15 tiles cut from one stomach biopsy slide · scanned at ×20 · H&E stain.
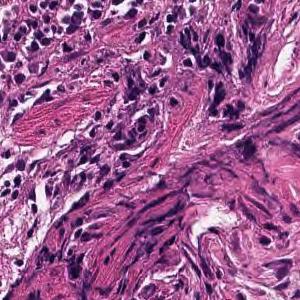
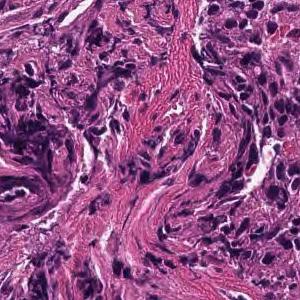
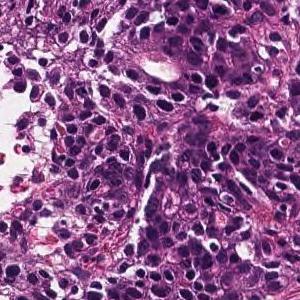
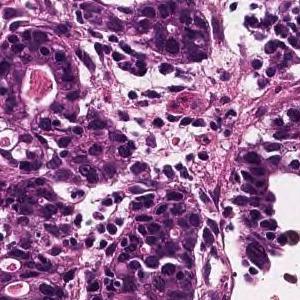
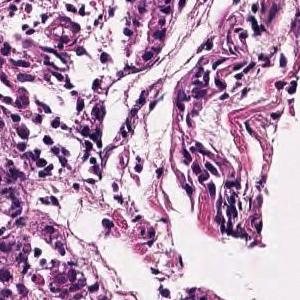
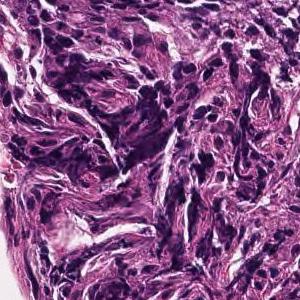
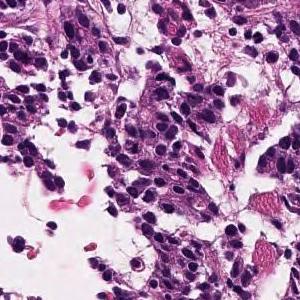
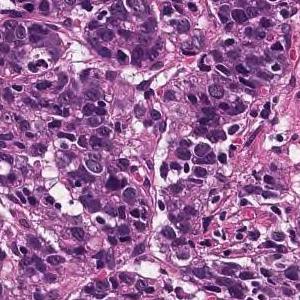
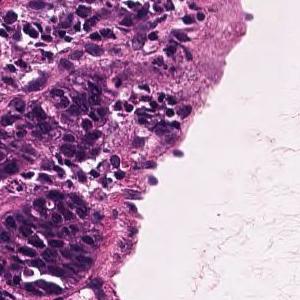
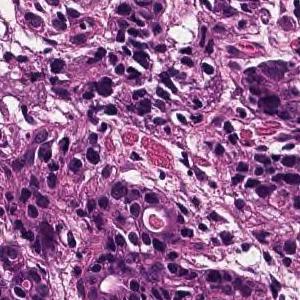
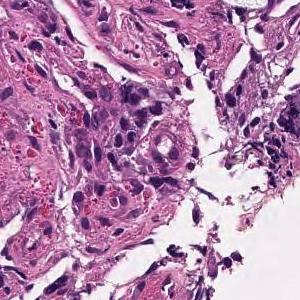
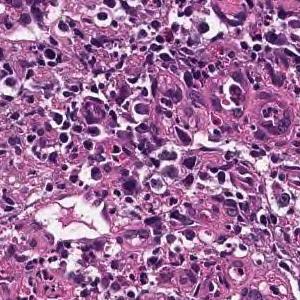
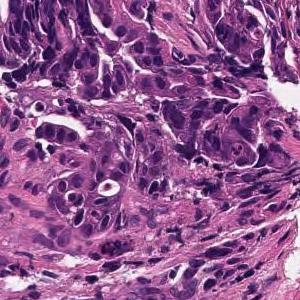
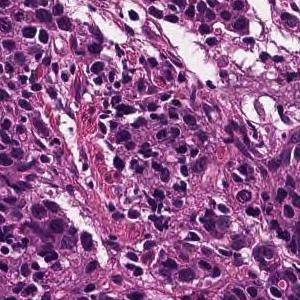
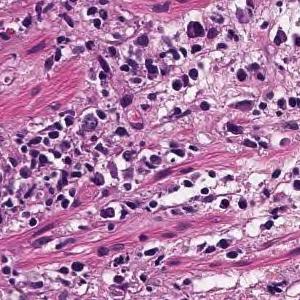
Pathology report for the biopsy slide these tiles were cut from. What the report and the diagnosis say applies to the whole slide; these tiles may miss some of the features named and may include tissue that is not tumor.
Medium to small, irregular glandular ducts are formed in the superficial epithelium, and in some cases, the glandular ducts are fused to show solid alveolar lesions and infiltrating tumor tissue is observed. Moderately to poorly differentiated adenocarcinoma.
